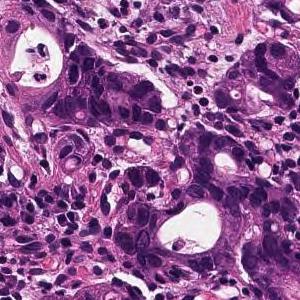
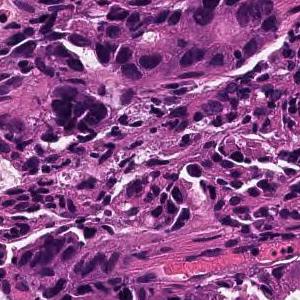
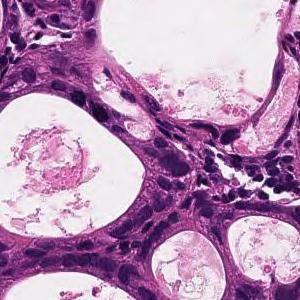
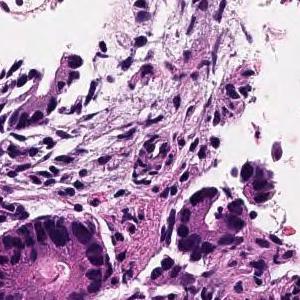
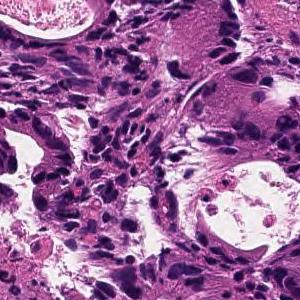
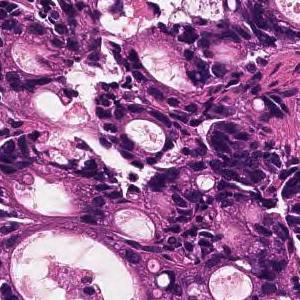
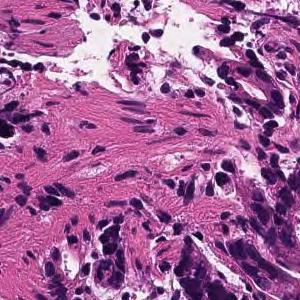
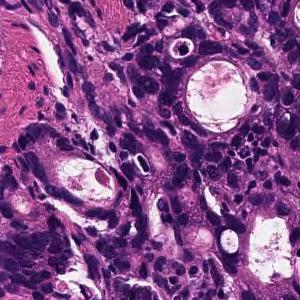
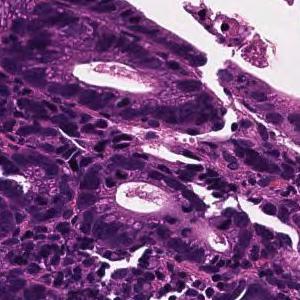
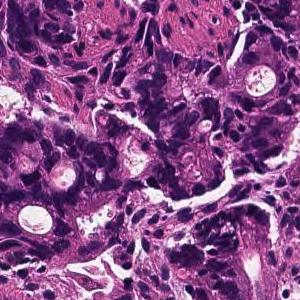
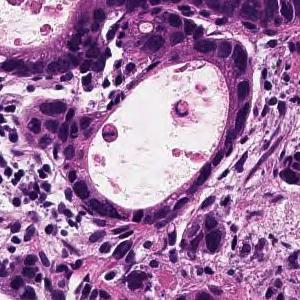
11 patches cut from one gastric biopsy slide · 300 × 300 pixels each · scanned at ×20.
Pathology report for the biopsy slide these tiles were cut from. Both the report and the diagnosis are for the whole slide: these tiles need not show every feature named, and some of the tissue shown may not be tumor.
In the superficial epithelium, tumor tissue that invades by forming medium-sized to small, irregular ducts is observed. moderately differentiated tubular adenocarcinoma.
